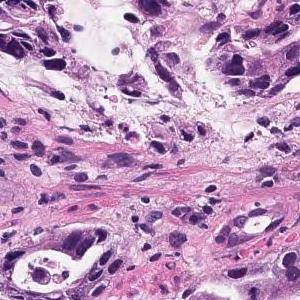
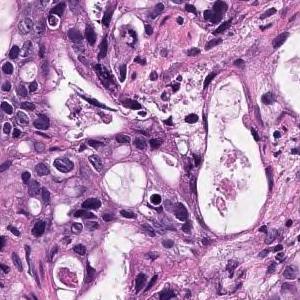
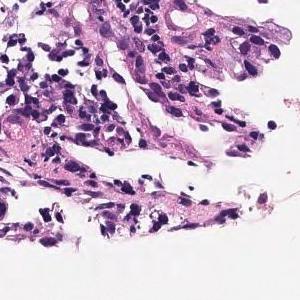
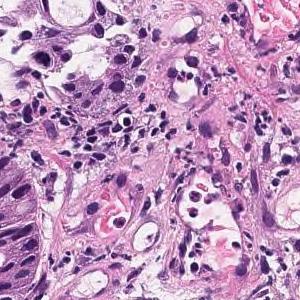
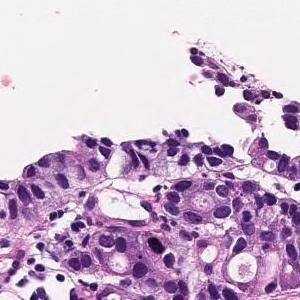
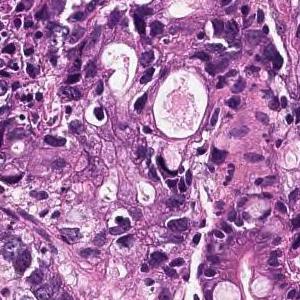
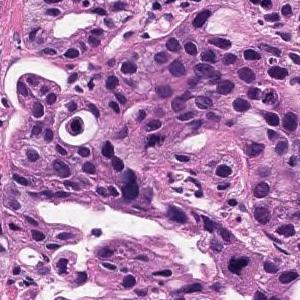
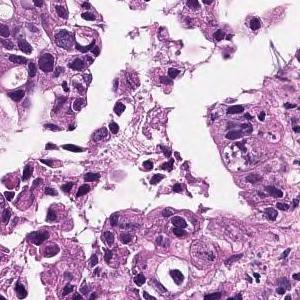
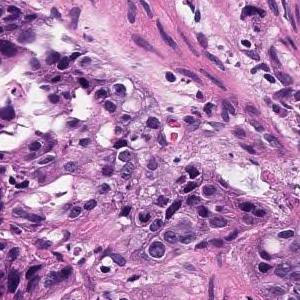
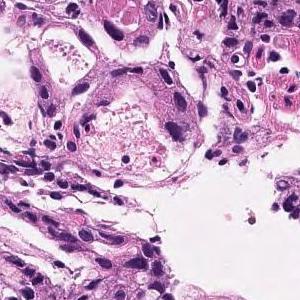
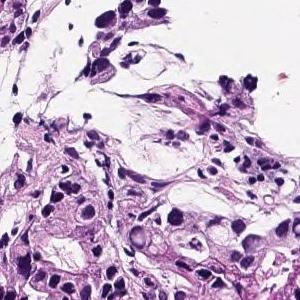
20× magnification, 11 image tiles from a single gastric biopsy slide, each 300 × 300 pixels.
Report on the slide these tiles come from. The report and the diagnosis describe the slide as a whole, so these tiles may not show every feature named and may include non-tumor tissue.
In the superficial epithelium, tumor tissue that invades by forming medium-sized to small, irregular ducts is observed. Moderately differentiated adenocarcinoma.
Histological subtype: Moderately differentiated tubular adenocarcinoma.
